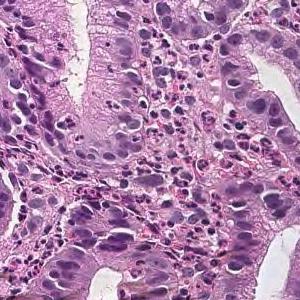
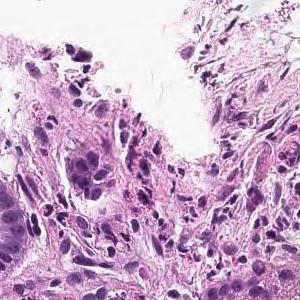
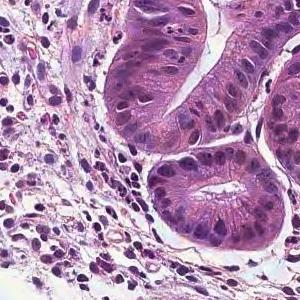
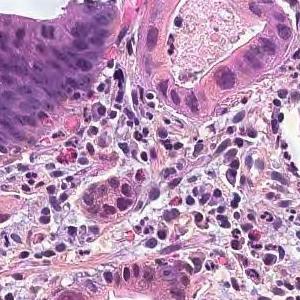
4 image tiles from a single gastric biopsy slide; H&E stain; 20× magnification.
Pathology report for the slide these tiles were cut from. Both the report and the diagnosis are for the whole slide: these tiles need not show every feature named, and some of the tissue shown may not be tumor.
On the superficial epithelium, tumor tissue that infiltrates by forming medium-sized papillary or small irregular ducts is observed. Papillary adenocarcinoma
